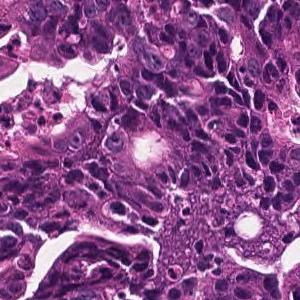
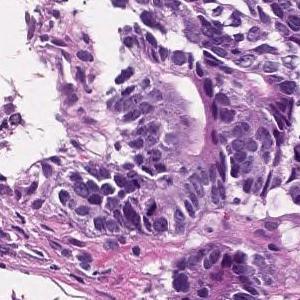
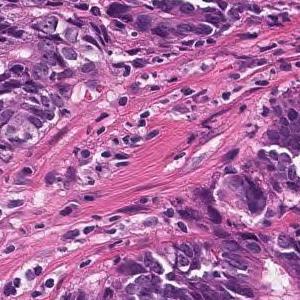
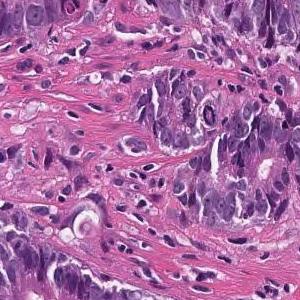
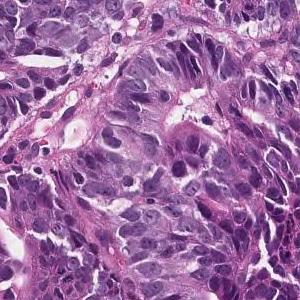
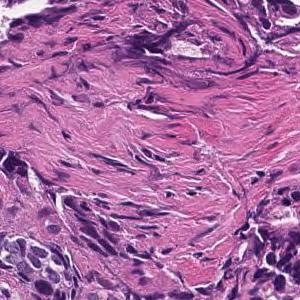
6 tiles cut from one stomach biopsy slide · H&E stain.
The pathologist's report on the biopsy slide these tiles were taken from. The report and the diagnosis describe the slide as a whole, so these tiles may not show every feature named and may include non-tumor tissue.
In the superficial epithelium, tumor tissue that invades by forming medium-sized to small, irregular ducts is observed. moderately differentiated tubular adenocarcinoma.
